7 image tiles from a single gastric biopsy slide, each 300 × 300 pixels, H&E stain, scanned at ×20.
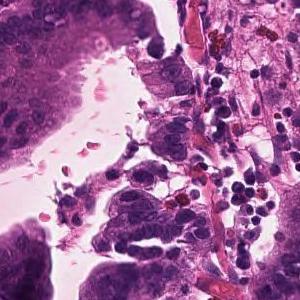
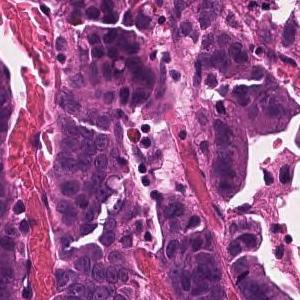
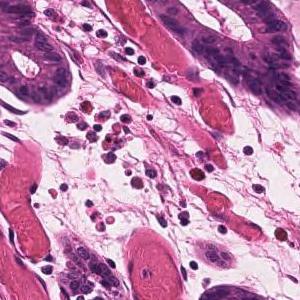
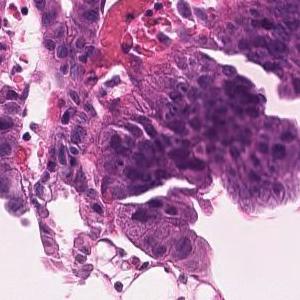
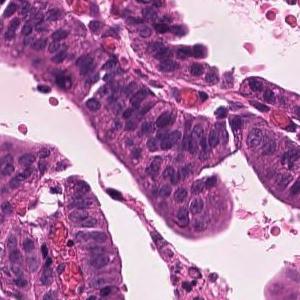
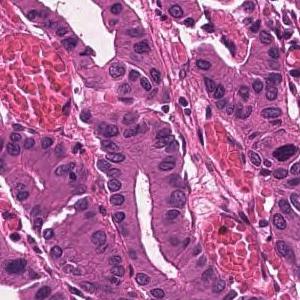
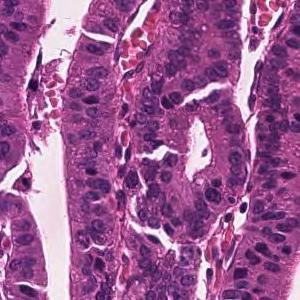
Pathology report for the biopsy slide these tiles were cut from. The report and the diagnosis describe the slide as a whole, so these tiles may not show every feature named and may include non-tumor tissue.
Infiltrating tumor tissue with medium-sized, irregular ductal structure or large papillary appearance is observed. Well differentiated tubular adenocarcinoma
